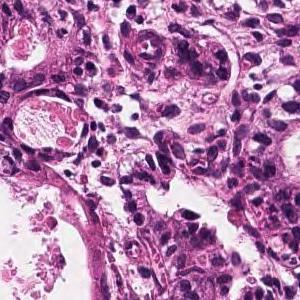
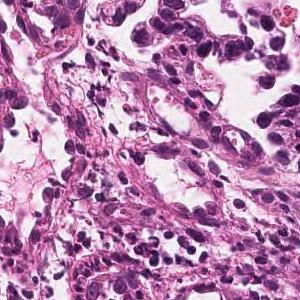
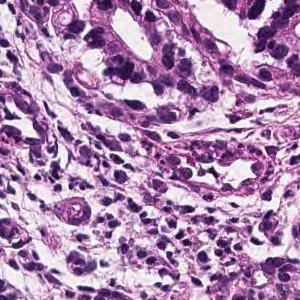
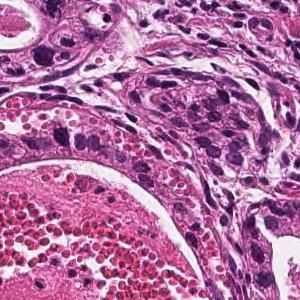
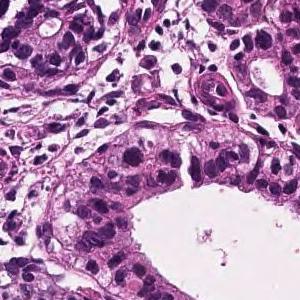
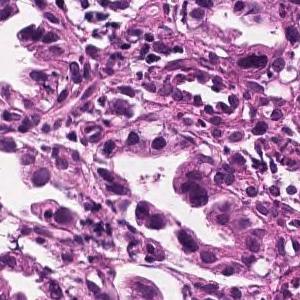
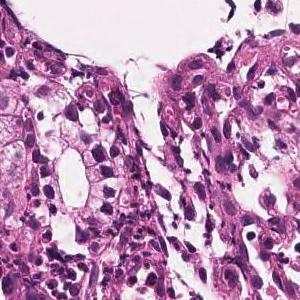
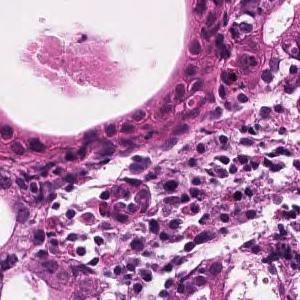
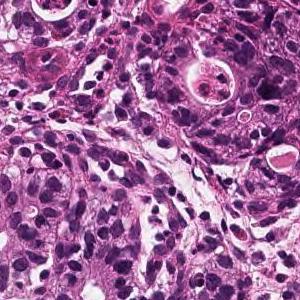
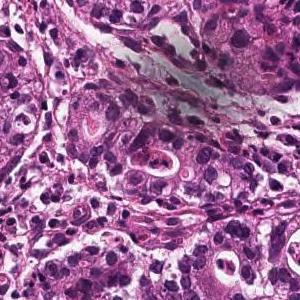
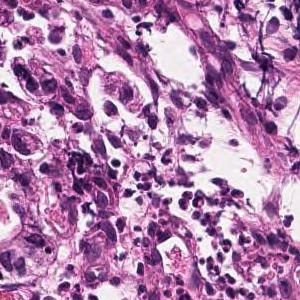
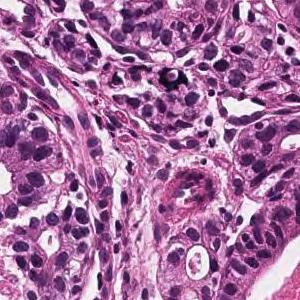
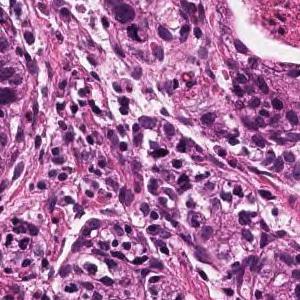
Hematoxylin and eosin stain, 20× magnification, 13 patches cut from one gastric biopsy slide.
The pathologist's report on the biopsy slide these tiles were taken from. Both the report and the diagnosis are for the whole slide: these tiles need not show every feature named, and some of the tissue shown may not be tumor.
Tumor tissue consisting of medium-sized and irregular ducts is observed infiltrating in the superficial epithelium. Tumor cells are highly columnar, with nuclei aligned basolaterally and polarized. Well differentiated tubular adenocarcinoma.
